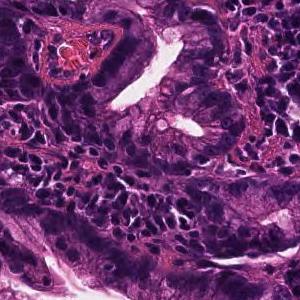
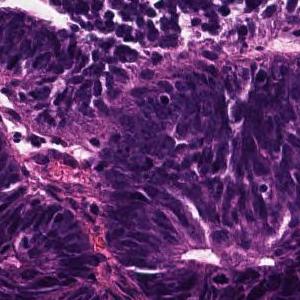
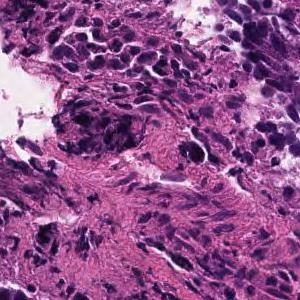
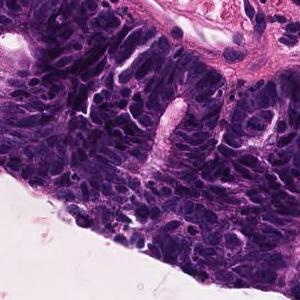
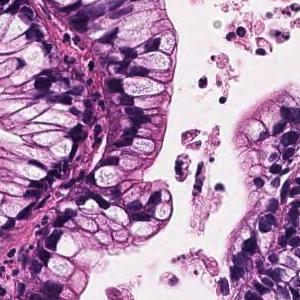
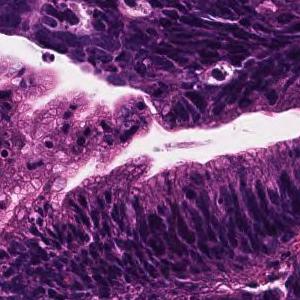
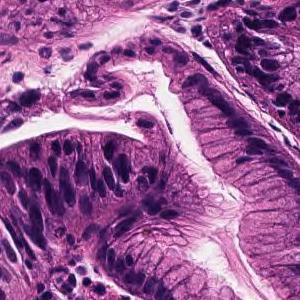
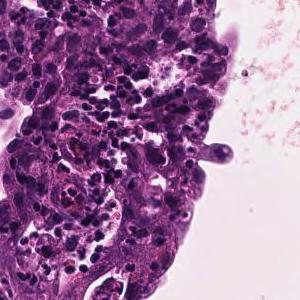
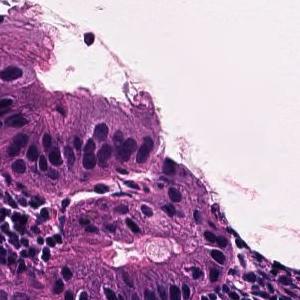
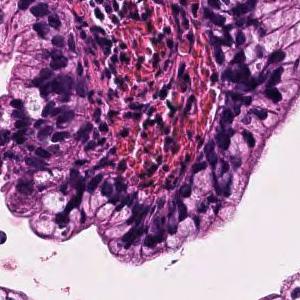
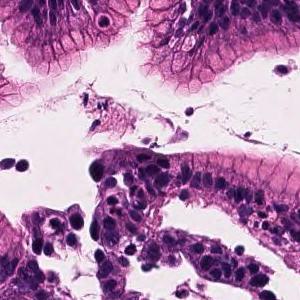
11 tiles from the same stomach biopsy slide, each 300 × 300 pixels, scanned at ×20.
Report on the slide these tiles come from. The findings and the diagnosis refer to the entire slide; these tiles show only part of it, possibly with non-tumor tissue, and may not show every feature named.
Tumor cells are large, highly columnar, large club-shaped nuclei, and are associated with chromatin aggregation. Papillary adenocarcinoma.
